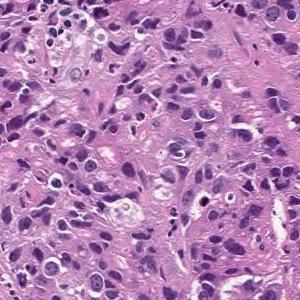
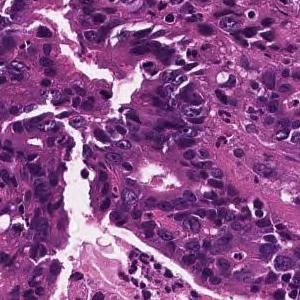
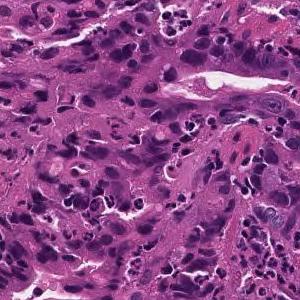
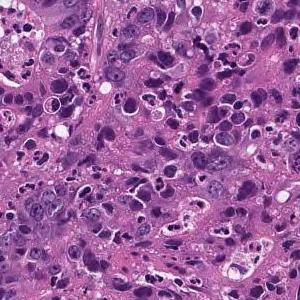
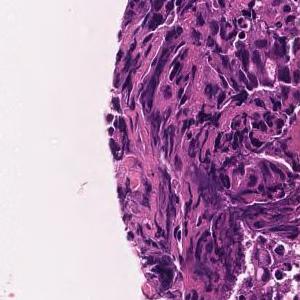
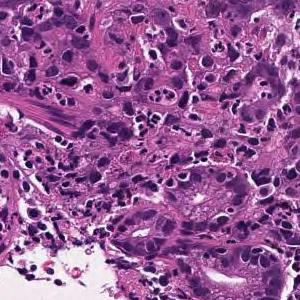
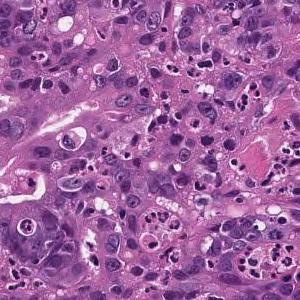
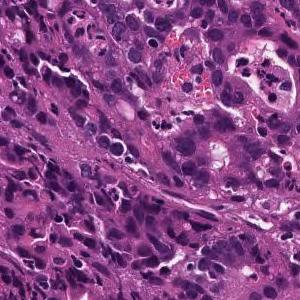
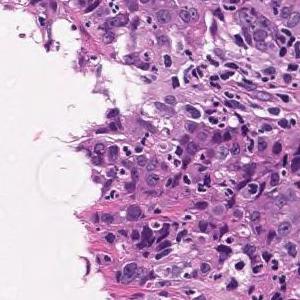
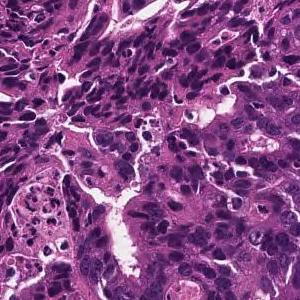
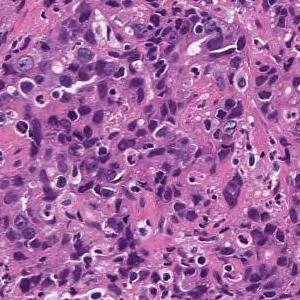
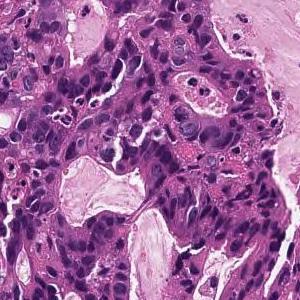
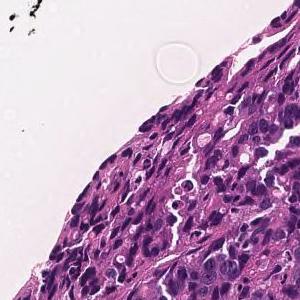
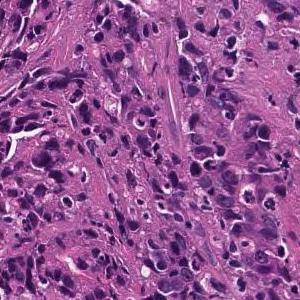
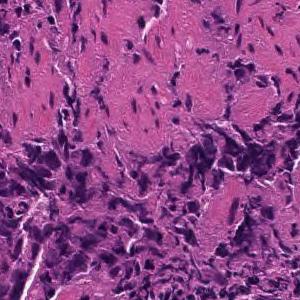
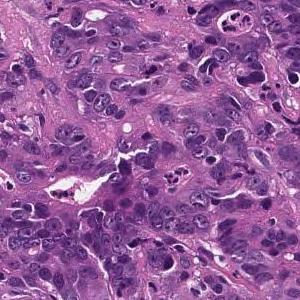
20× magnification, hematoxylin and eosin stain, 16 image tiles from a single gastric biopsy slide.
Pathology report for the biopsy slide these tiles were cut from. What the report and the diagnosis say applies to the whole slide; these tiles may miss some of the features named and may include tissue that is not tumor.
In the superficial epithelium, tumor tissue that invades by forming medium-sized to small, irregular ducts is observed. moderately differentiated tubular adenocarcinoma.
